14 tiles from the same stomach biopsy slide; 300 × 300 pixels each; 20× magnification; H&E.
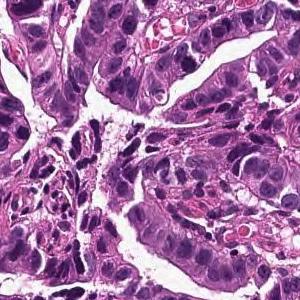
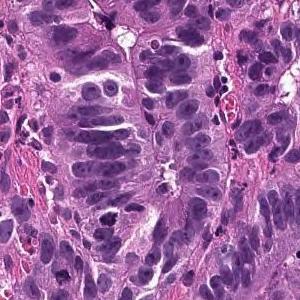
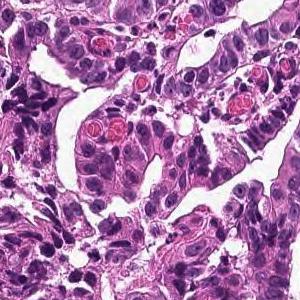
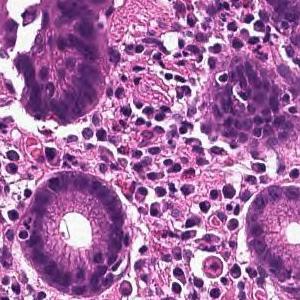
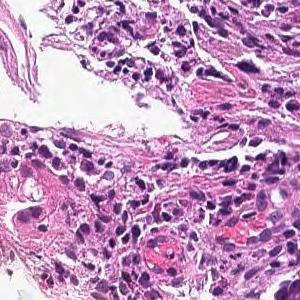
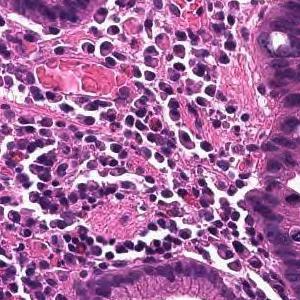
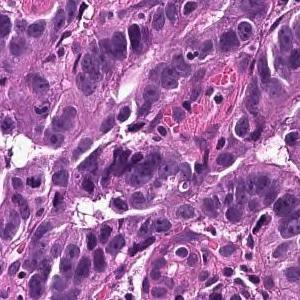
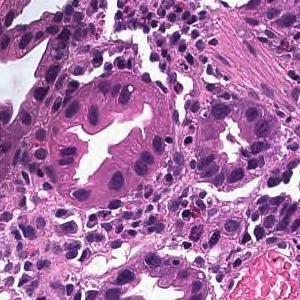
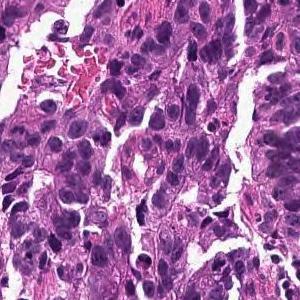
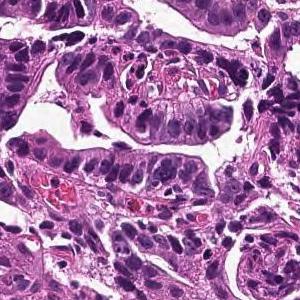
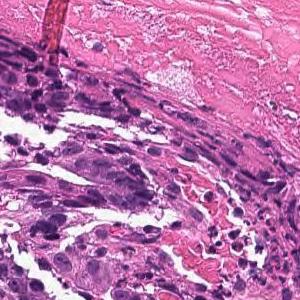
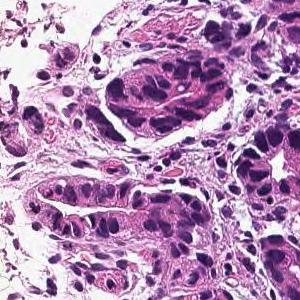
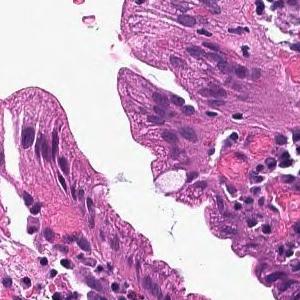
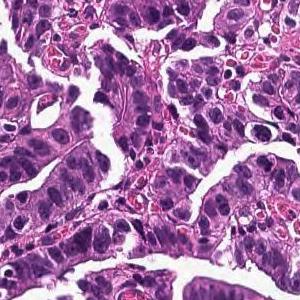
Diagnostic report for the slide these tiles come from. What the report and the diagnosis say applies to the whole slide; these tiles may miss some of the features named and may include tissue that is not tumor.
On the superficial epithelium, tumor tissue consisting of large, irregular glandular ducts partially fused and infiltrated is observed. Well to moderately differentiated tubular adenocarcinoma (well differentiated tubular adenocarcinoma, moderately differentiated tubular adenocarcinoma)
Histologic type: Well to moderately differentiated tubular adenocarcinoma.
